7 tiles cut from one stomach biopsy slide; 300 × 300 pixels each; H&E stain; 20× magnification.
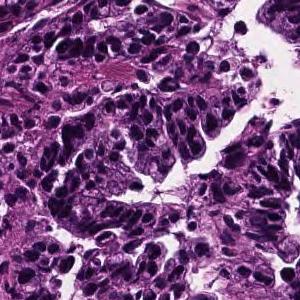
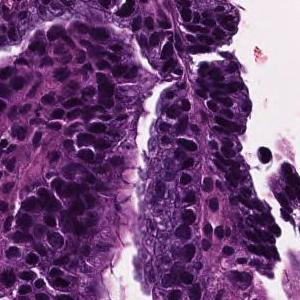
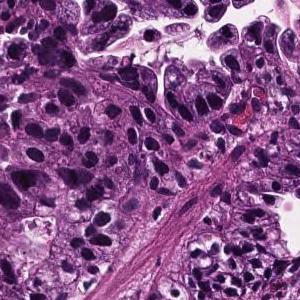
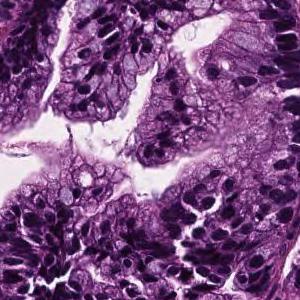
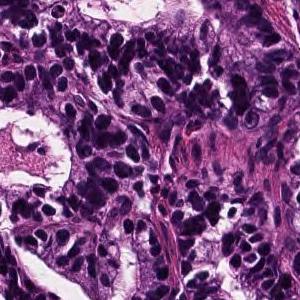
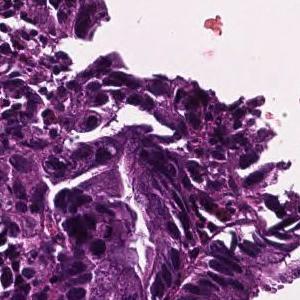
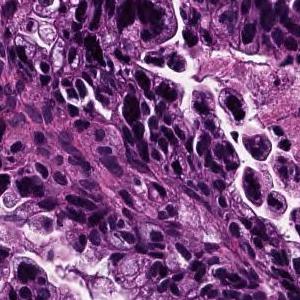
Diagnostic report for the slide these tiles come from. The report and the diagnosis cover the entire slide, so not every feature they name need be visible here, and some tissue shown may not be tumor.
In the superficial epithelium, tumor tissue that invades by forming medium-sized to small, irregular ducts is observed. Well differentiated tubular adenocarcinoma.
